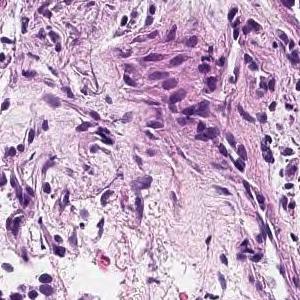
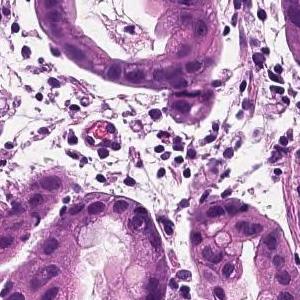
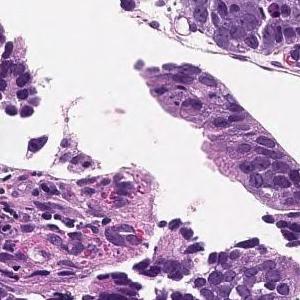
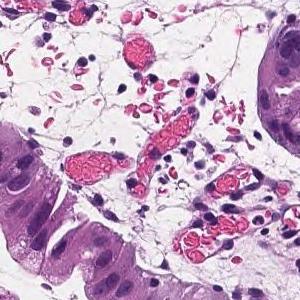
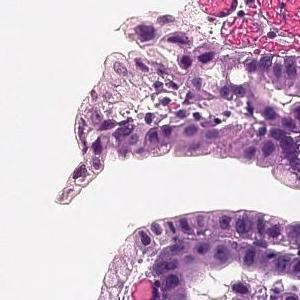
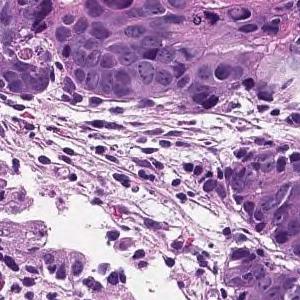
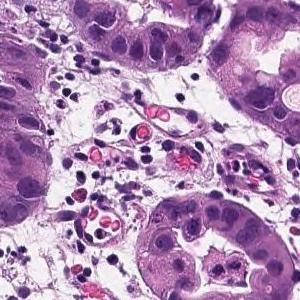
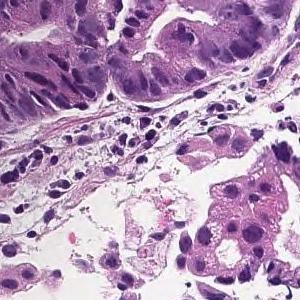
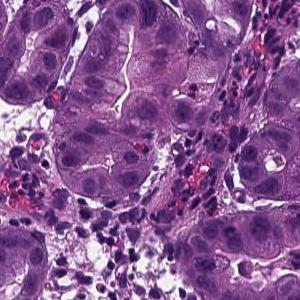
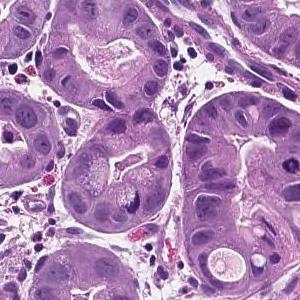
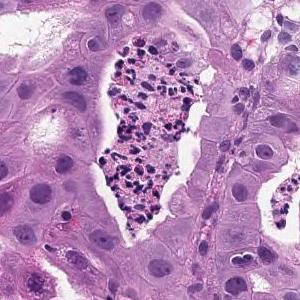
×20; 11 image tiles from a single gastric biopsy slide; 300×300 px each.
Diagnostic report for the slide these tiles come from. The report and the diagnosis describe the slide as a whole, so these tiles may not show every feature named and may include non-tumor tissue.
On the superficial epithelium, tumor tissue that infiltrates by forming medium-sized papillary or small irregular ducts is observed. Papillary adenocarcinoma
